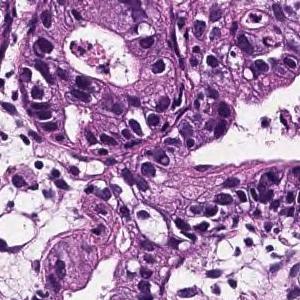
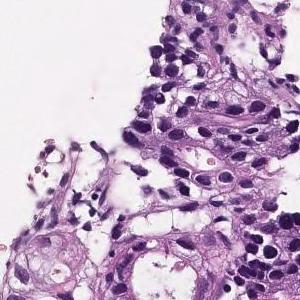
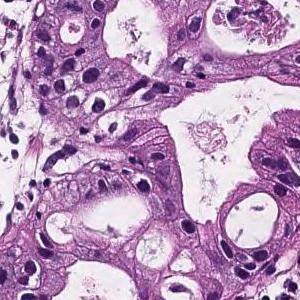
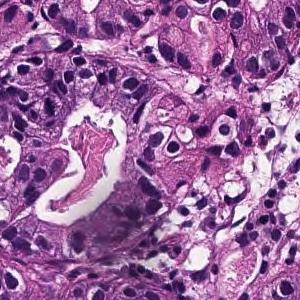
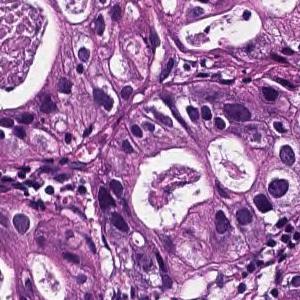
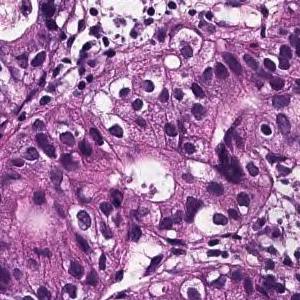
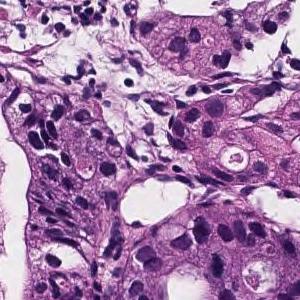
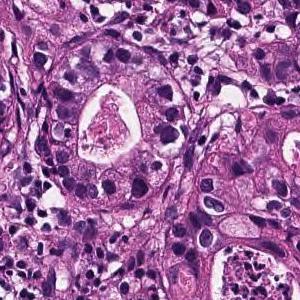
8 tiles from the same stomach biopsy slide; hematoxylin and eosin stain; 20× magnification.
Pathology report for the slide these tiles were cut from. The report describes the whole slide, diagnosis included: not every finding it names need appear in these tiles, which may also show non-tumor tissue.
From the superficial epithelium to the muscularis mucosae, tumor tissue infiltrating by forming medium-sized irregular gland ducts is observed. Large tumor cells exhibit large nucleus and hyperchromatism. Well differentiated tubular adenocarcinoma
